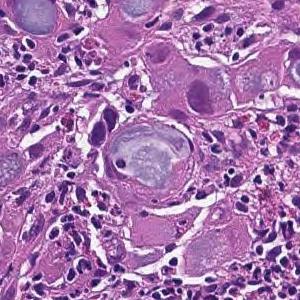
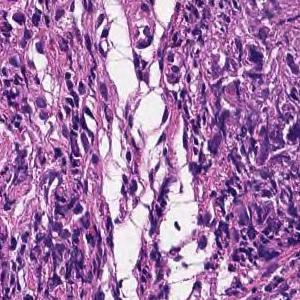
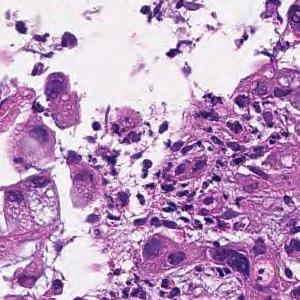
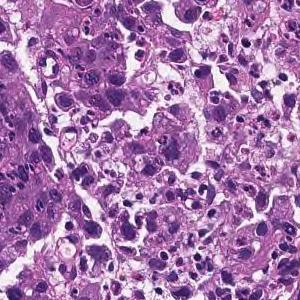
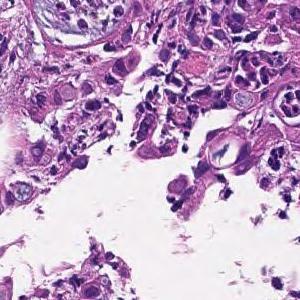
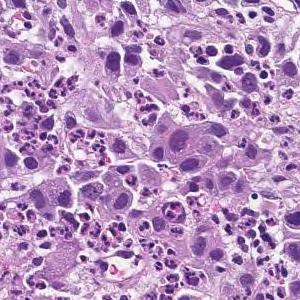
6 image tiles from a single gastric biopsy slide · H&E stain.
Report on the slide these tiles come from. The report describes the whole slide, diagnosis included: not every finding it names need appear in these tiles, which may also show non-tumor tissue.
The superficial epithelium shows a large sheet-like shape, and some tumor tissue infiltrates with small irregular ducts. Poorly differentiated adenocarcinoma, solid-type
Histologic type: Poorly differentiated adenocarcinoma, solid type. This name comes from the Japanese Classification of Gastric Carcinoma; the WHO 2019 classification calls it tubular adenocarcinoma, poorly differentiated.
